×20; 11 patches cut from one gastric biopsy slide; 300×300 px each.
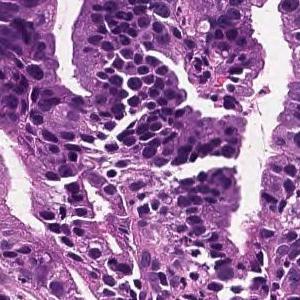
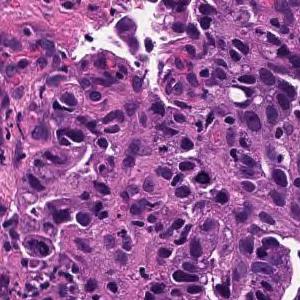
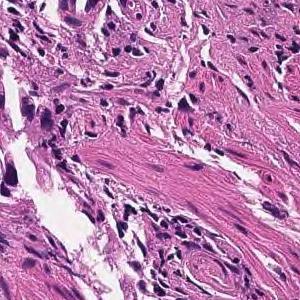
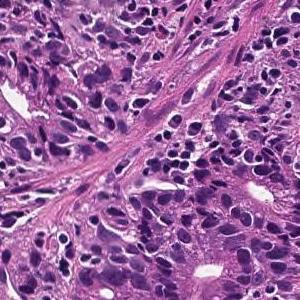
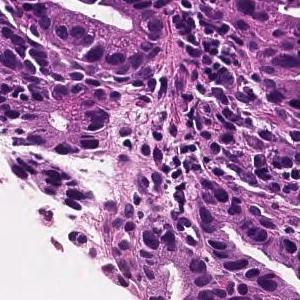
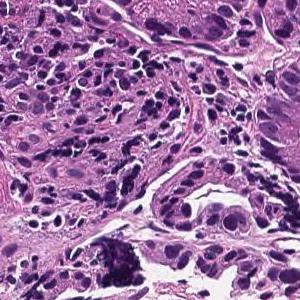
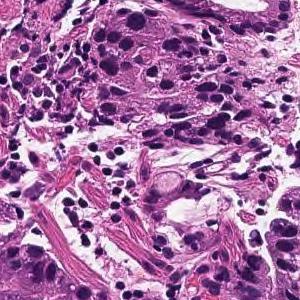
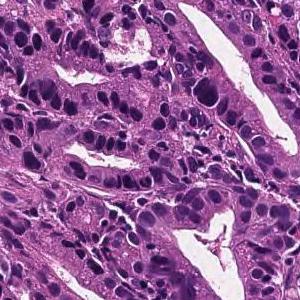
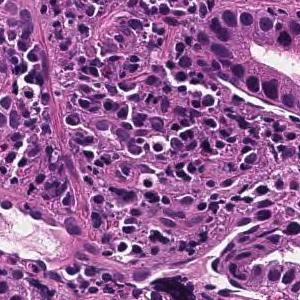
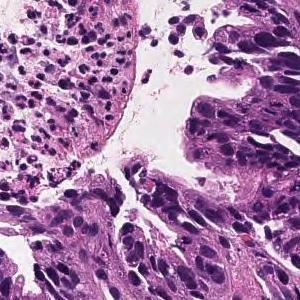
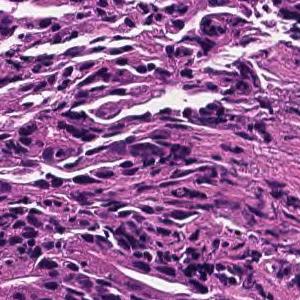
Pathology report for the biopsy slide these tiles were cut from. The report and the diagnosis cover the entire slide, so not every feature they name need be visible here, and some tissue shown may not be tumor.
On the superficial epithelium, tumor tissue is found in which medium-sized irregular gland ducts fuse with each other and infiltrate. moderately differentiated tubular adenocarcinoma or Poorly differentiated adenocarcinoma, non-solid type
Histological subtype: Moderately to poorly differentiated adenocarcinoma.
The term "non-solid type" comes from the Japanese Classification of Gastric Carcinoma.
